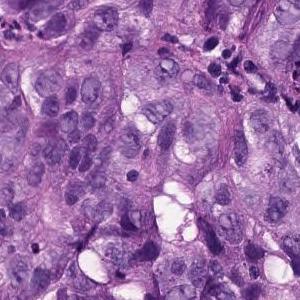
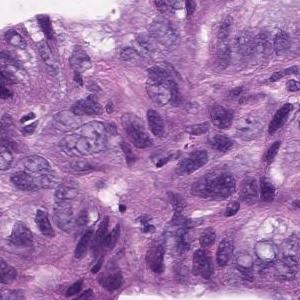
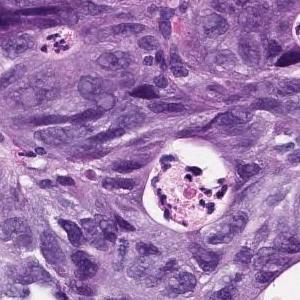
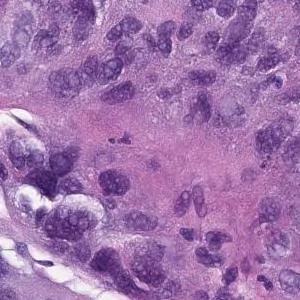
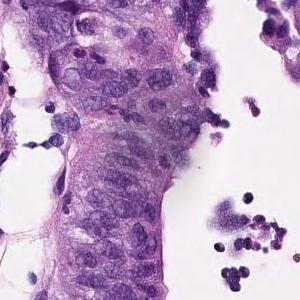
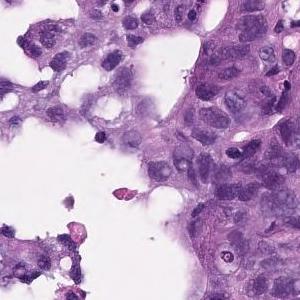
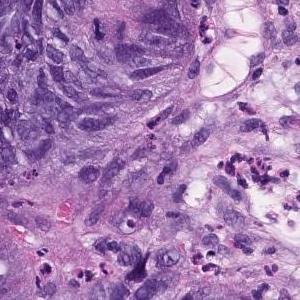
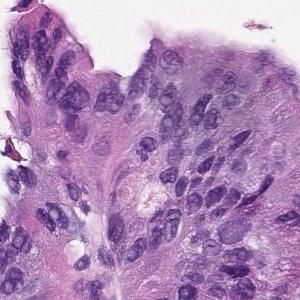
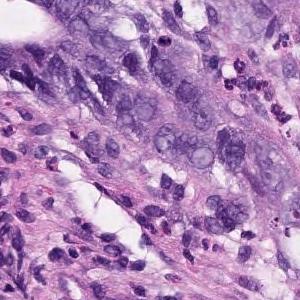
H&E stain, 9 tiles from the same stomach biopsy slide.
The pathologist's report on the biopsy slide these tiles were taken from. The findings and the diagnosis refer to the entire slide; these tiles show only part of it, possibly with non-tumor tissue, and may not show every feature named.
In the superficial epithelium, tumor tissue that invades by forming medium-sized to small, irregular ducts is observed. Moderately differentiated adenocarcinoma.
Histologic type: Moderately differentiated tubular adenocarcinoma.
